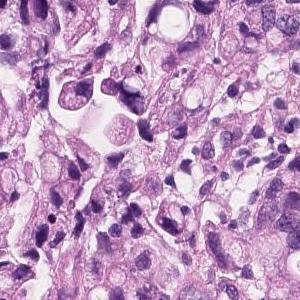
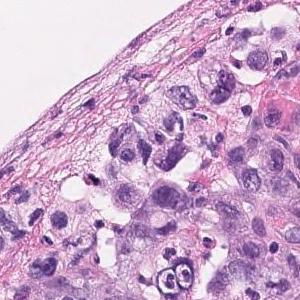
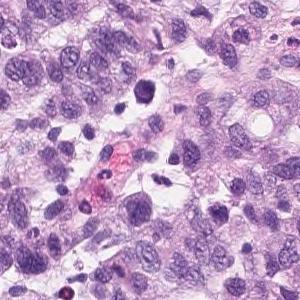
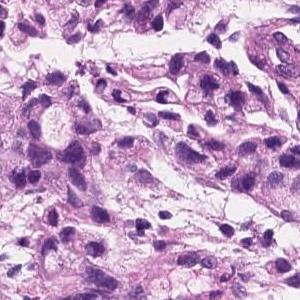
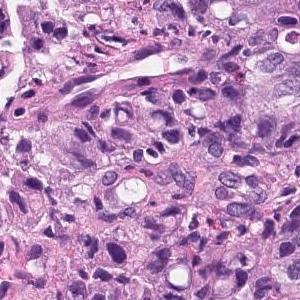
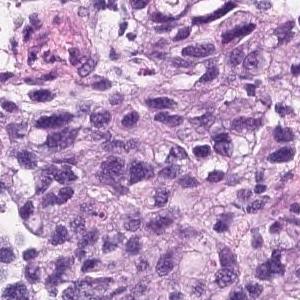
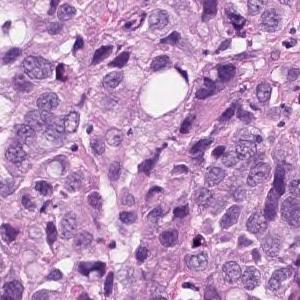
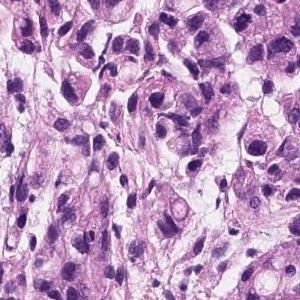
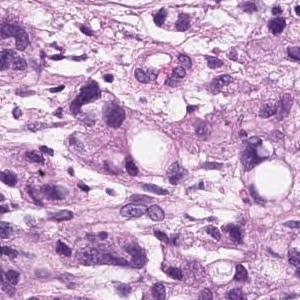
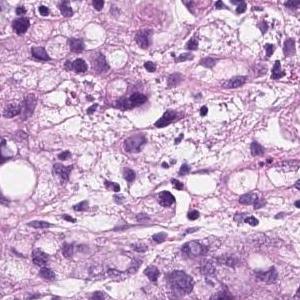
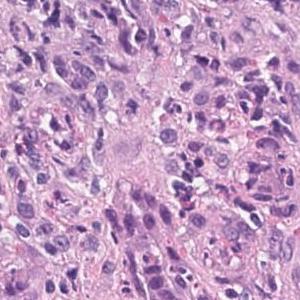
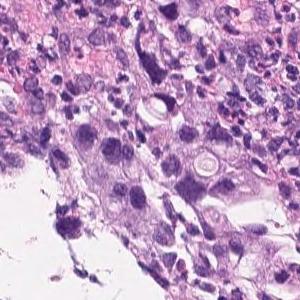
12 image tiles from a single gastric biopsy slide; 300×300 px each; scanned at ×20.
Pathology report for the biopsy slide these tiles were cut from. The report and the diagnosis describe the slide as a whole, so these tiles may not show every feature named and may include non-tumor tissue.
Group 5, Adenocarcinoma. Poorly differentiated adenocarcinoma, non-solid type
"Non-solid type" is a category of the Japanese Classification of Gastric Carcinoma.
